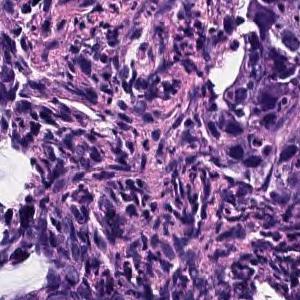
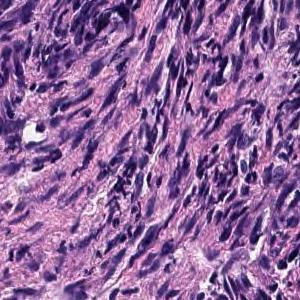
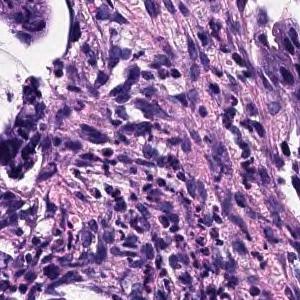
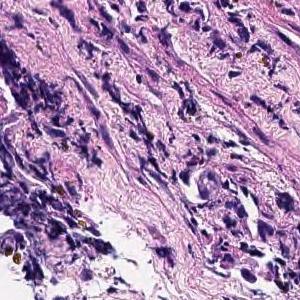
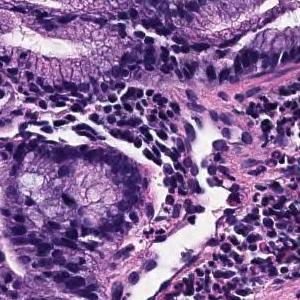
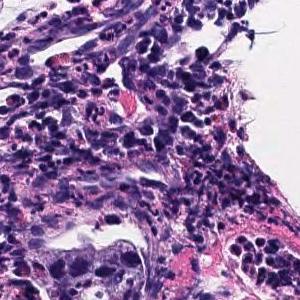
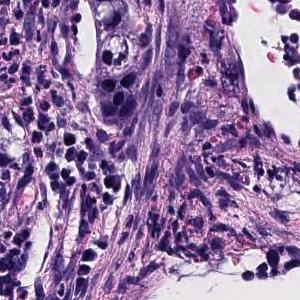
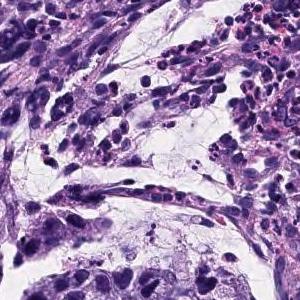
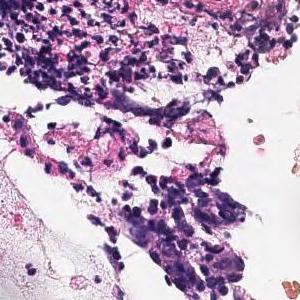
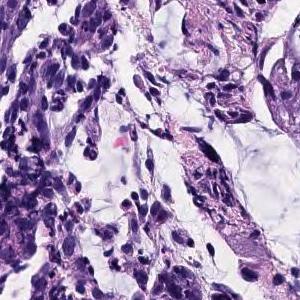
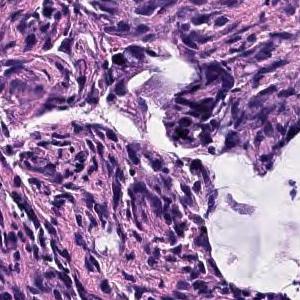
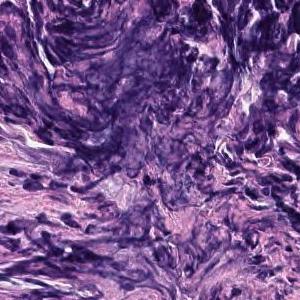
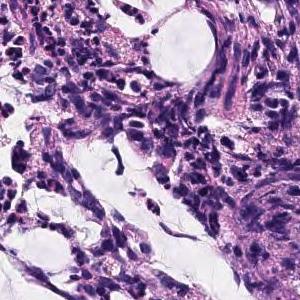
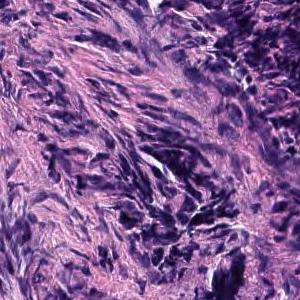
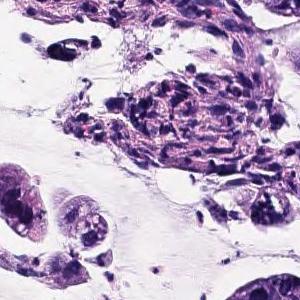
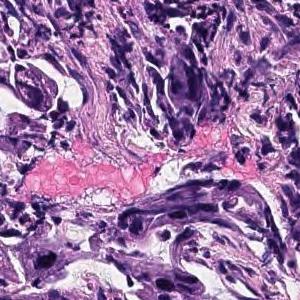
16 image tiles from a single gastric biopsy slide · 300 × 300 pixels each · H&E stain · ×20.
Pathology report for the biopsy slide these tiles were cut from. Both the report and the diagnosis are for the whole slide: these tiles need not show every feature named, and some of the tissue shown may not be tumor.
The superficial epithelium shows small cord-like infiltrating tumor tissue. Some part of neoplastic cells are signet ring cell type which show single invasion manner. Poorly differentiated adenocarcinoma, non-solid type.
The non-solid type named here is a Japanese Classification of Gastric Carcinoma category.
